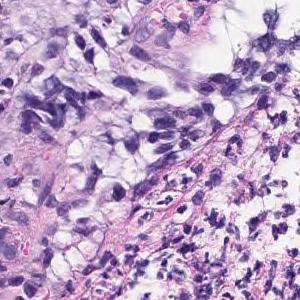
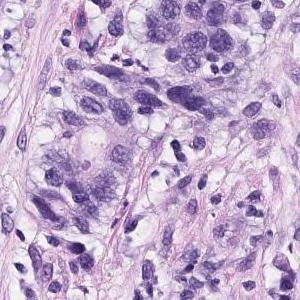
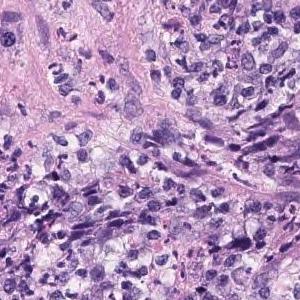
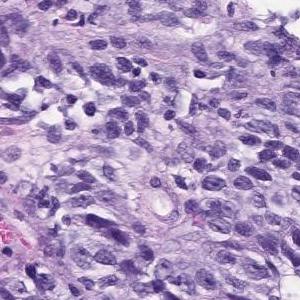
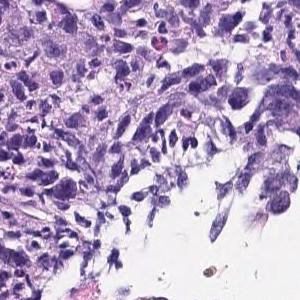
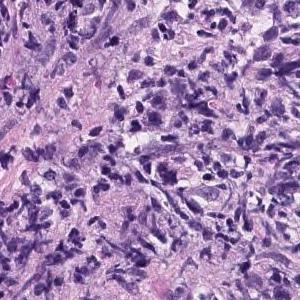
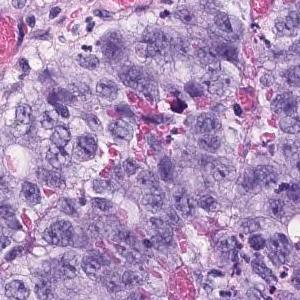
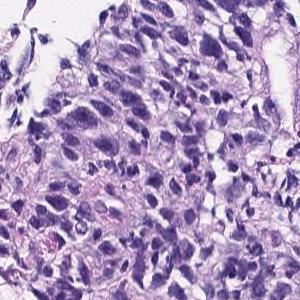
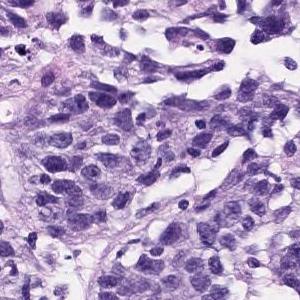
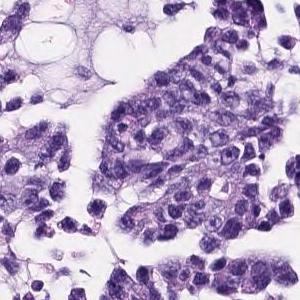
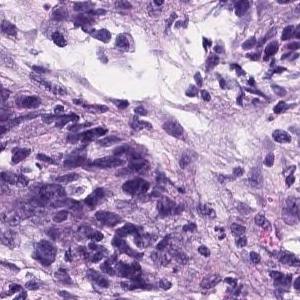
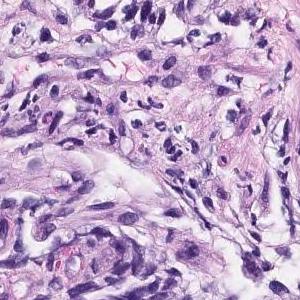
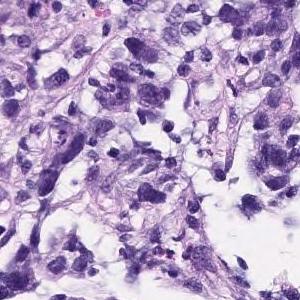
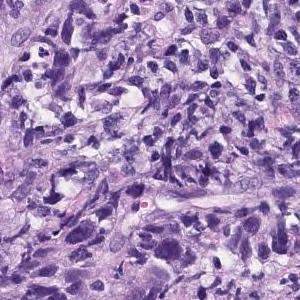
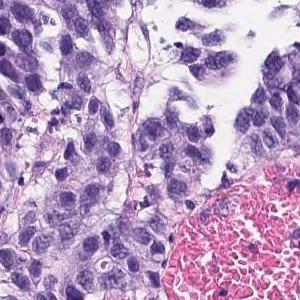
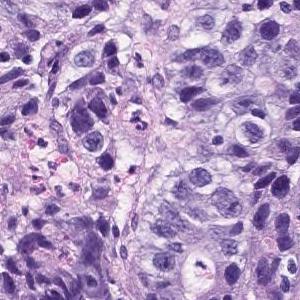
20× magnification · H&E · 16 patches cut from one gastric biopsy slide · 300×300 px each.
Diagnostic report for the slide these tiles come from. The findings and the diagnosis refer to the entire slide; these tiles show only part of it, possibly with non-tumor tissue, and may not show every feature named.
The superficial epithelium shows a large sheet-like shape, and some tumor tissue infiltrates with small irregular ducts. Poorly differentiated adenocarcinoma, solid-type
Classified as poorly differentiated adenocarcinoma, solid type (Japanese Classification of Gastric Carcinoma). The WHO 2019 equivalent is tubular adenocarcinoma, poorly differentiated.
